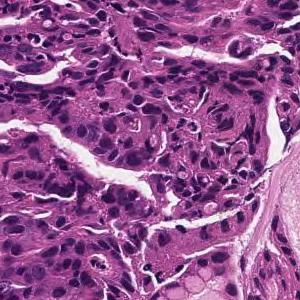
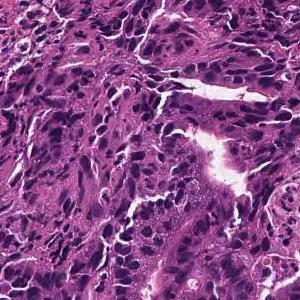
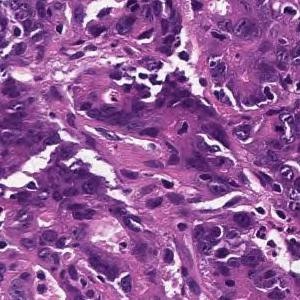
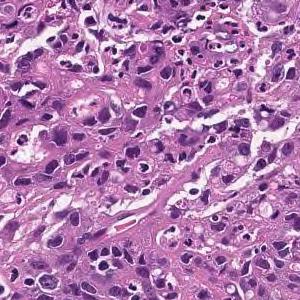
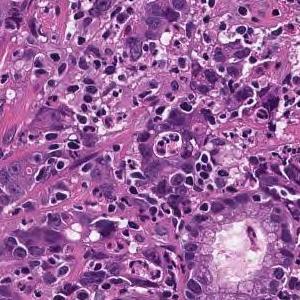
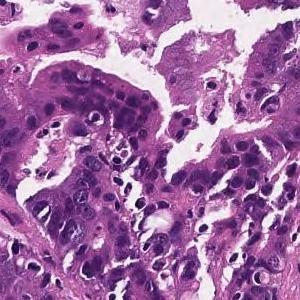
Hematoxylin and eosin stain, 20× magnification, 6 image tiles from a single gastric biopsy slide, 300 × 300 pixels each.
Pathology report for the biopsy slide these tiles were cut from. Both the report and the diagnosis are for the whole slide: these tiles need not show every feature named, and some of the tissue shown may not be tumor.
In the superficial epithelium, tumor tissue that invades by forming medium-sized to small, irregular ducts is observed. moderately differentiated tubular adenocarcinoma.
